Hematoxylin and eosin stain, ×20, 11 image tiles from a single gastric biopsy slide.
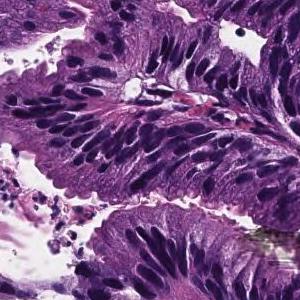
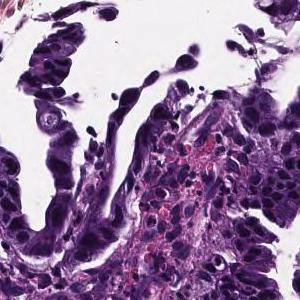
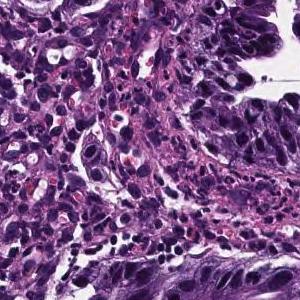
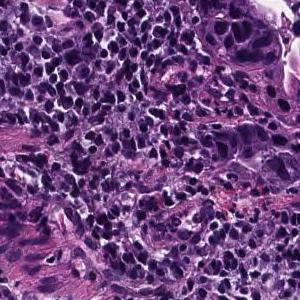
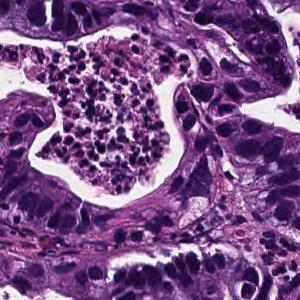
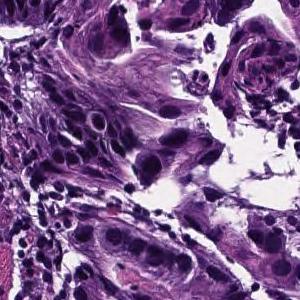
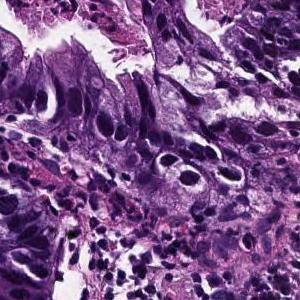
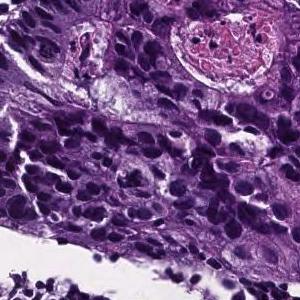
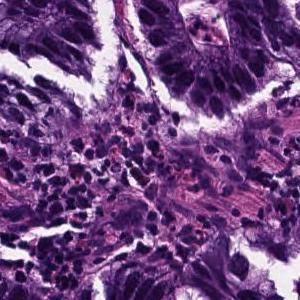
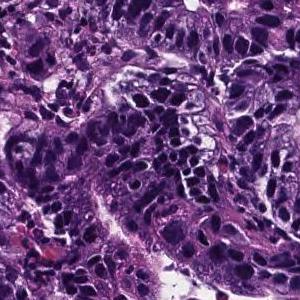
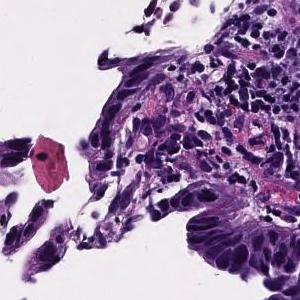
Report on the slide these tiles come from. The report describes the whole slide, diagnosis included: not every finding it names need appear in these tiles, which may also show non-tumor tissue.
In the superficial epithelium, tumor tissue that invades by forming medium-sized to small, irregular ducts is observed. Moderately differentiated adenocarcinoma.
Subtype: Moderately differentiated tubular adenocarcinoma.
